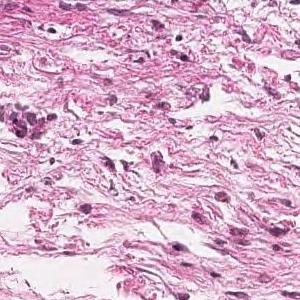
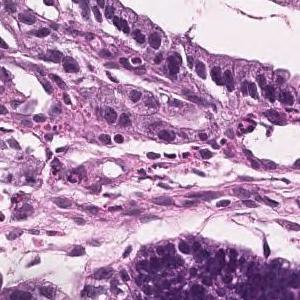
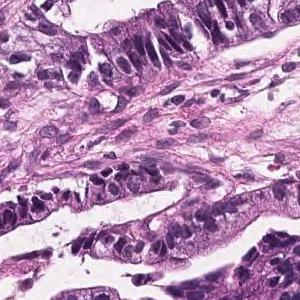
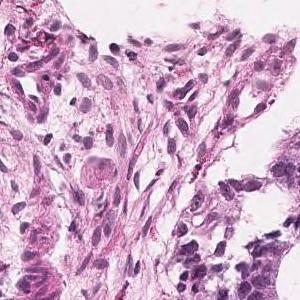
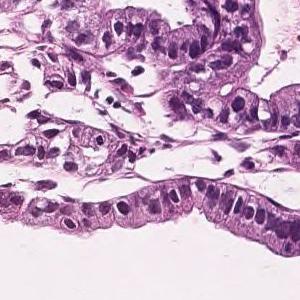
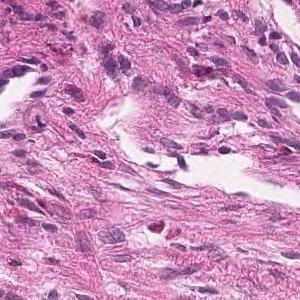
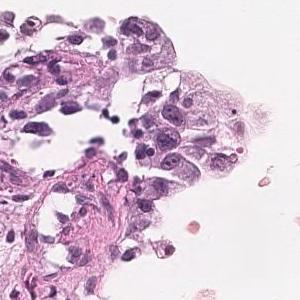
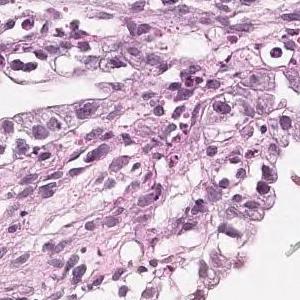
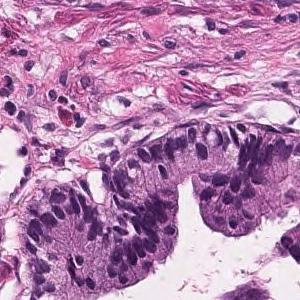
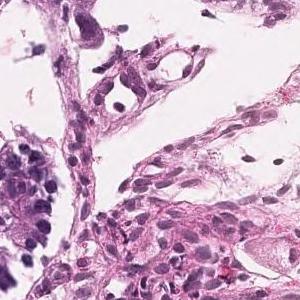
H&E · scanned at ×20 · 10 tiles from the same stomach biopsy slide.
Diagnostic report for the slide these tiles come from. The report and the diagnosis cover the entire slide, so not every feature they name need be visible here, and some tissue shown may not be tumor.
Tumor cells are large, highly columnar, large club-shaped nuclei, and are associated with chromatin aggregation. Papillary adenocarcinoma.
